20× magnification; hematoxylin and eosin stain; 4 tiles from the same stomach biopsy slide; each 300 × 300 pixels.
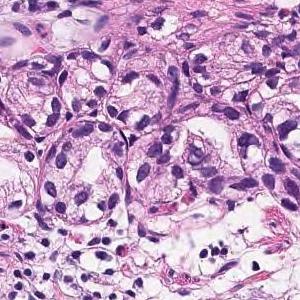
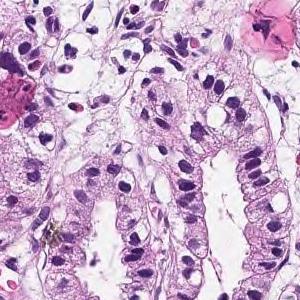
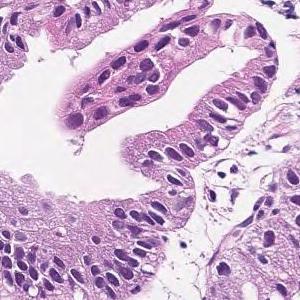
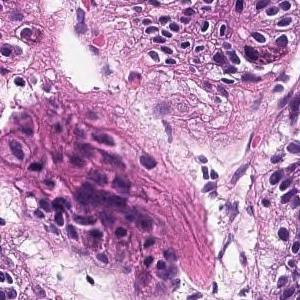
Diagnostic report for the slide these tiles come from. The findings and the diagnosis refer to the entire slide; these tiles show only part of it, possibly with non-tumor tissue, and may not show every feature named.
In the superficial epithelium, tumor tissue that invades by forming medium-sized to small, irregular ducts is observed. Moderately differentiated adenocarcinoma.
Tumor subtype: moderately differentiated tubular adenocarcinoma.
